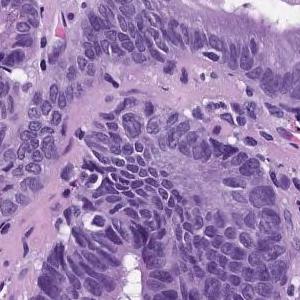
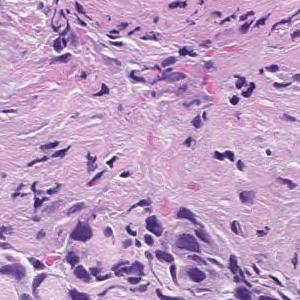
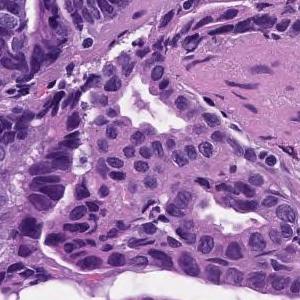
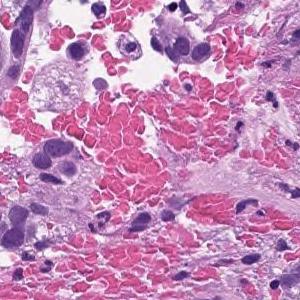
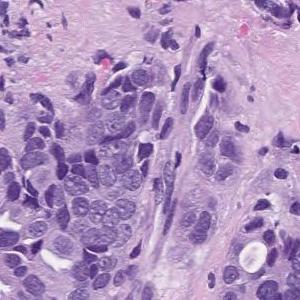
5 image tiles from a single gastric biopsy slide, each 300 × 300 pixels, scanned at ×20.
Diagnostic report for the slide these tiles come from. What the report and the diagnosis say applies to the whole slide; these tiles may miss some of the features named and may include tissue that is not tumor.
In the superficial epithelium, tumor tissue that invades by forming medium-sized to small, irregular ducts is observed. moderately differentiated tubular adenocarcinoma.
